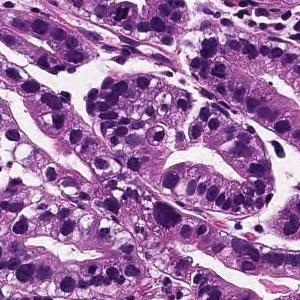
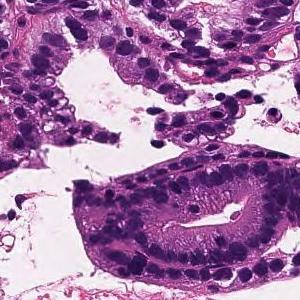
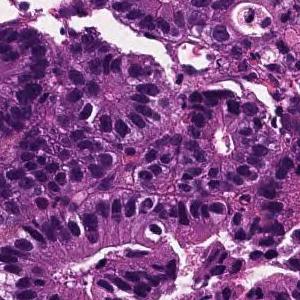
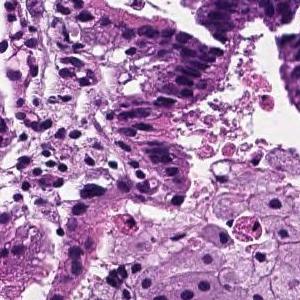
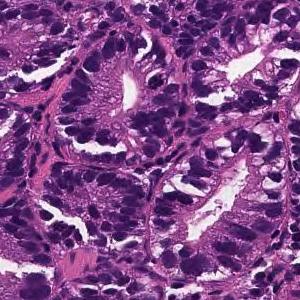
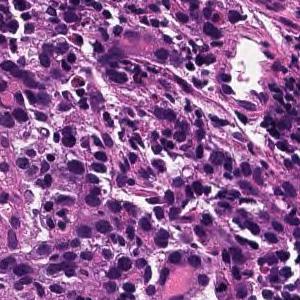
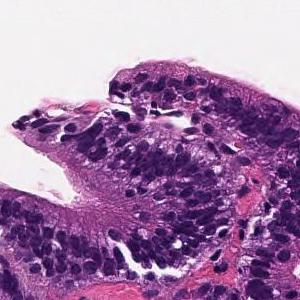
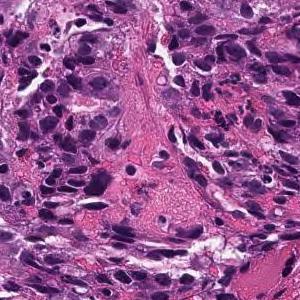
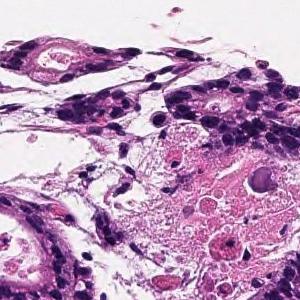
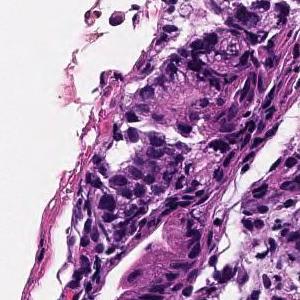
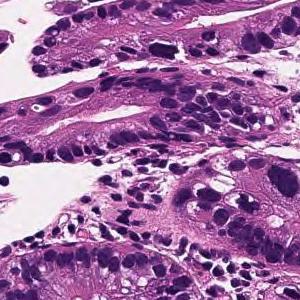
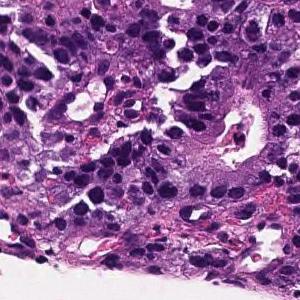
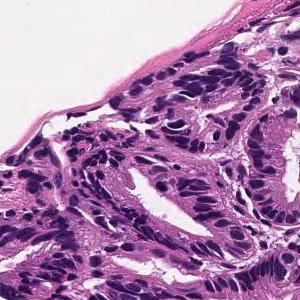
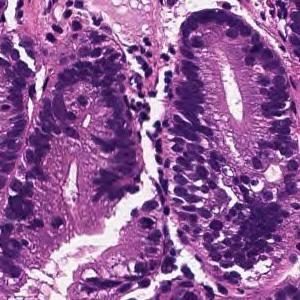
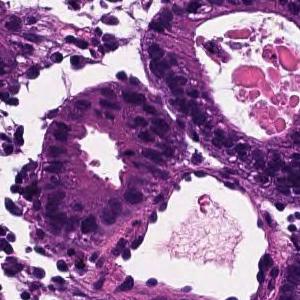
15 tiles cut from one stomach biopsy slide, H&E stain.
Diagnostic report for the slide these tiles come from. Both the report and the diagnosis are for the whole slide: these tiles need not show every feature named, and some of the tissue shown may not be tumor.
From the superficial epithelium to the muscularis mucosae, tumor tissue consisting of medium-sized and irregular glandular ducts infiltrating is observed. Well differentiated tubular adenocarcinoma
